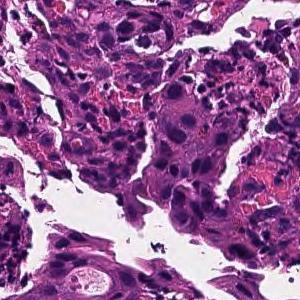
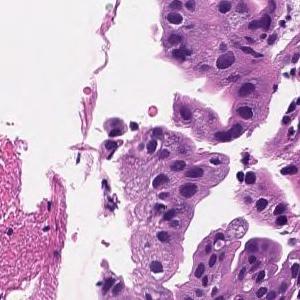
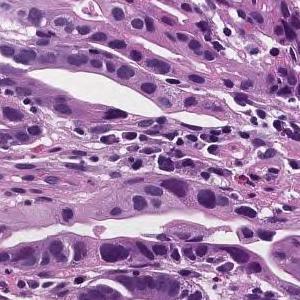
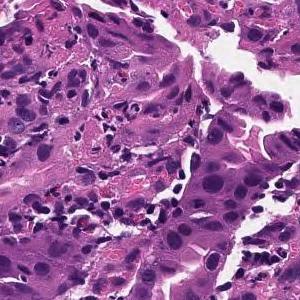
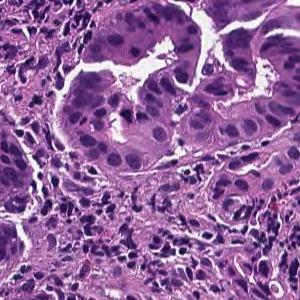
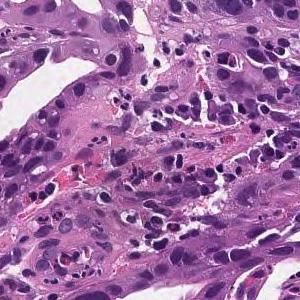
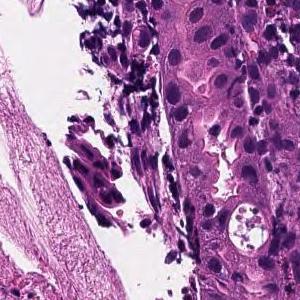
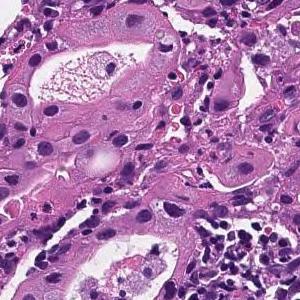
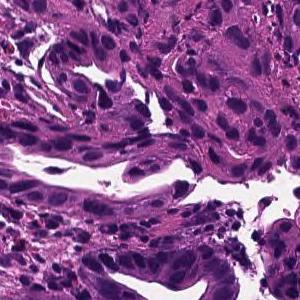
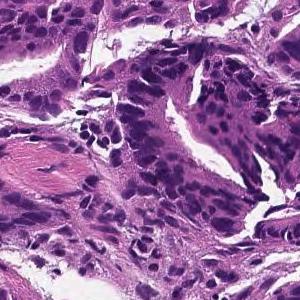
10 tiles cut from one stomach biopsy slide; 300×300 px each.
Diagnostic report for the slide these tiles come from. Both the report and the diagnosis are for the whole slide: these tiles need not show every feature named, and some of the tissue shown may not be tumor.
In the superficial epithelium, tumor tissue that invades by forming medium-sized to small, irregular ducts is observed. moderately differentiated tubular adenocarcinoma.
